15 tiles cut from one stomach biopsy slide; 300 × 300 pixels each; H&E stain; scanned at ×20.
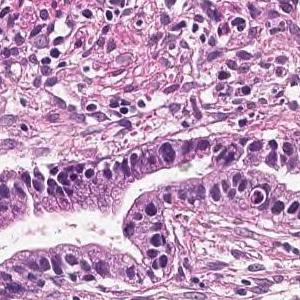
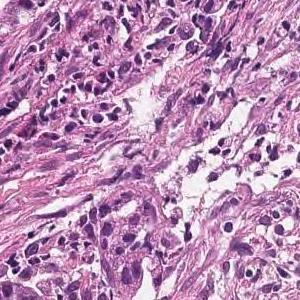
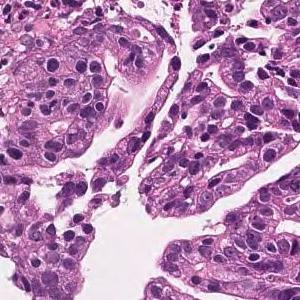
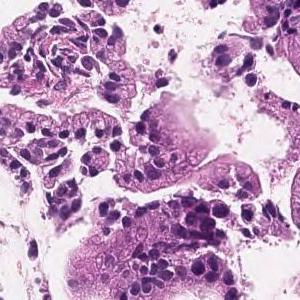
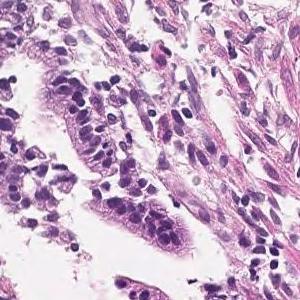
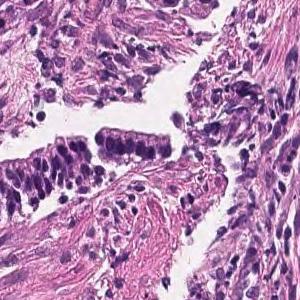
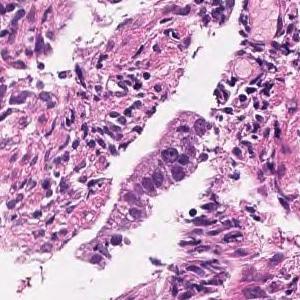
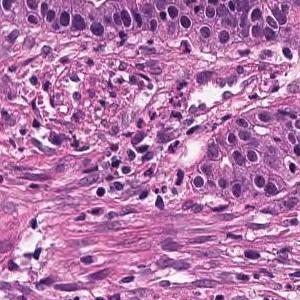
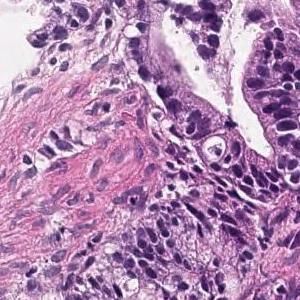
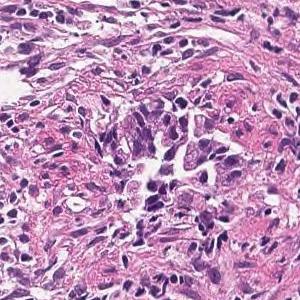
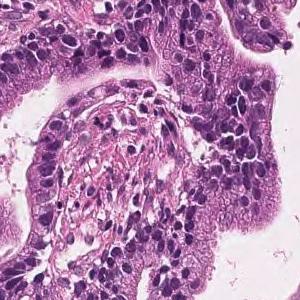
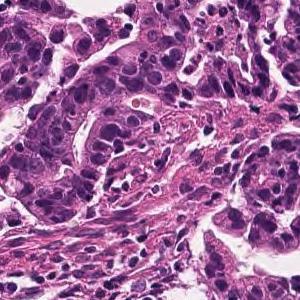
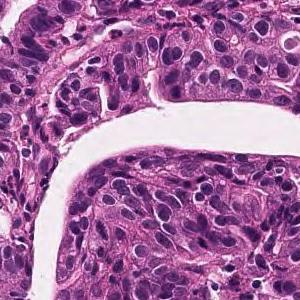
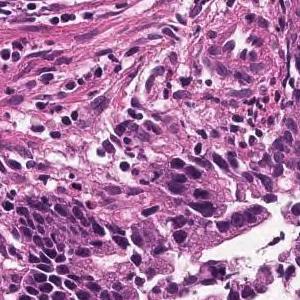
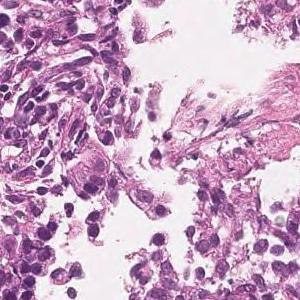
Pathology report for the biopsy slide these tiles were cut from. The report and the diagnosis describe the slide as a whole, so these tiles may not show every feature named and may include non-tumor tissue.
Tumor cells are large, highly columnar, large club-shaped nuclei, and are associated with chromatin aggregation. Papillary adenocarcinoma.
